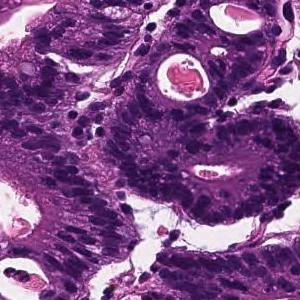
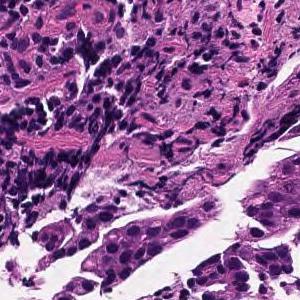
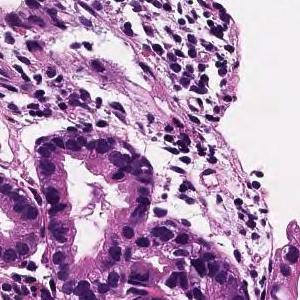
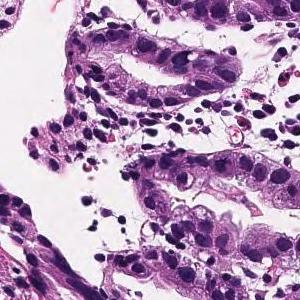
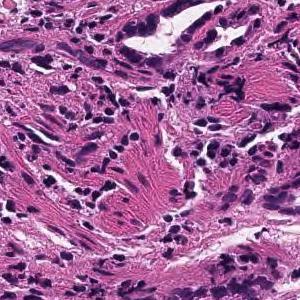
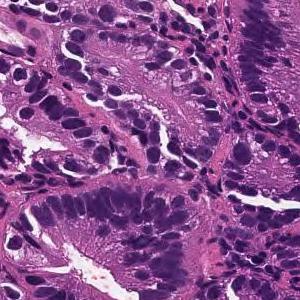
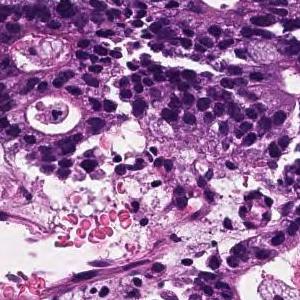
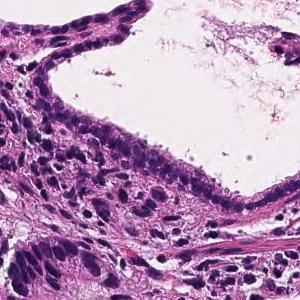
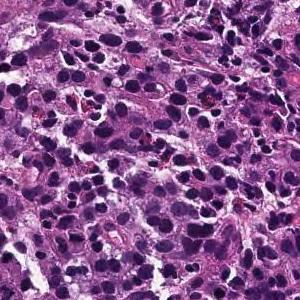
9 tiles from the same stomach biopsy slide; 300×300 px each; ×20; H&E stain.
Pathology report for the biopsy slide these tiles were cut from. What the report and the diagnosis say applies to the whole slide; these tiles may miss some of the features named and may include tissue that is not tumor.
From the superficial epithelium to the muscularis mucosae, tumor tissue consisting of medium-sized and irregular glandular ducts infiltrating is observed. Well differentiated tubular adenocarcinoma
